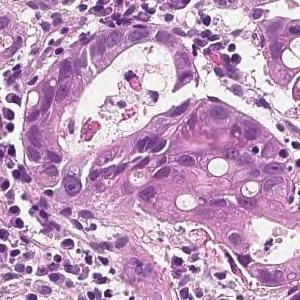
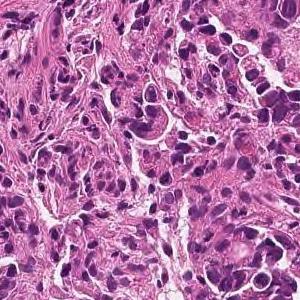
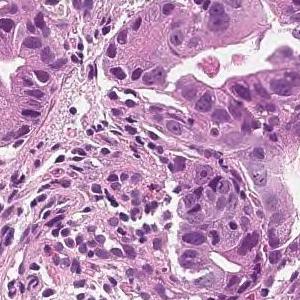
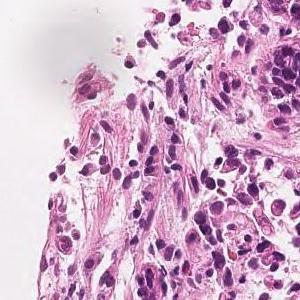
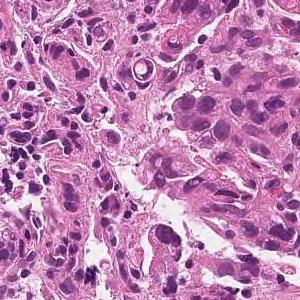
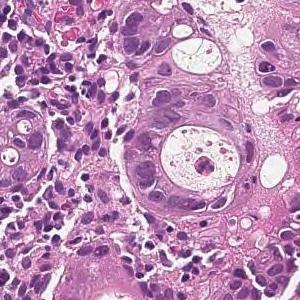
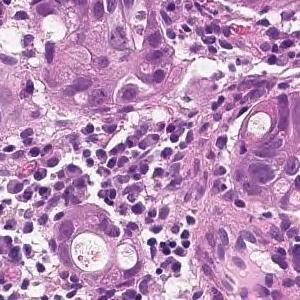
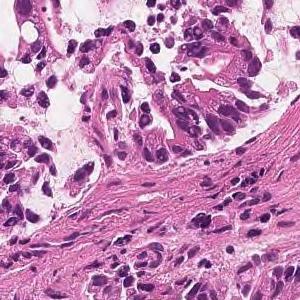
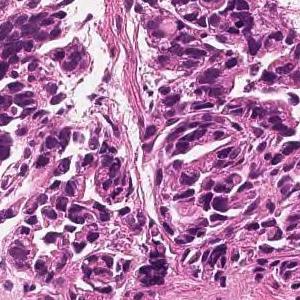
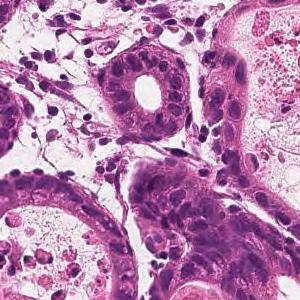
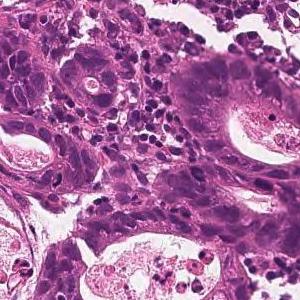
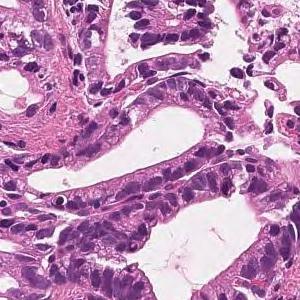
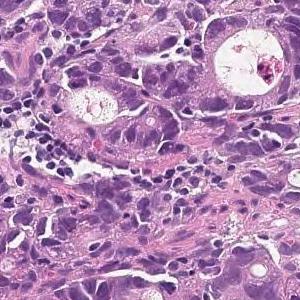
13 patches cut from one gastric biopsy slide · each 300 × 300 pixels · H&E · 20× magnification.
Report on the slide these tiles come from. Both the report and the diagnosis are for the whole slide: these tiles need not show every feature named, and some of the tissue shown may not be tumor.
On the superficial epithelium, tumor tissue is found in which medium-sized irregular gland ducts fuse with each other and infiltrate. moderately differentiated tubular adenocarcinoma
